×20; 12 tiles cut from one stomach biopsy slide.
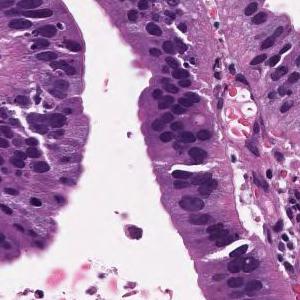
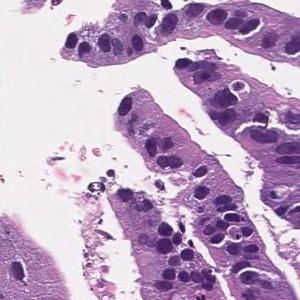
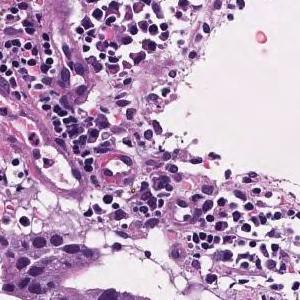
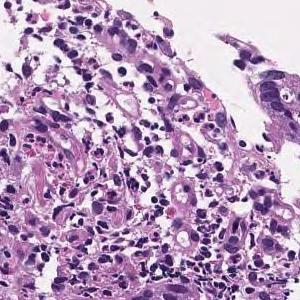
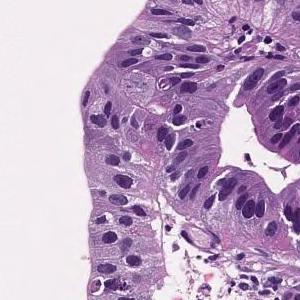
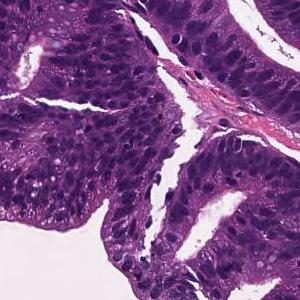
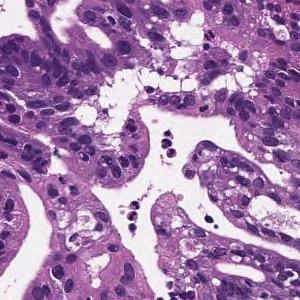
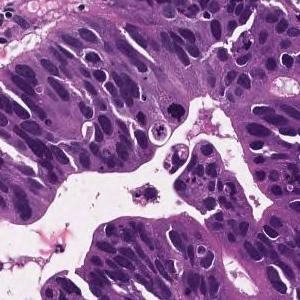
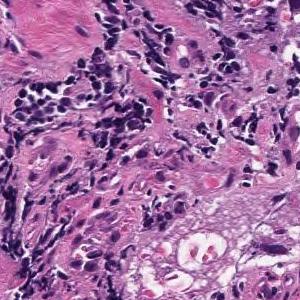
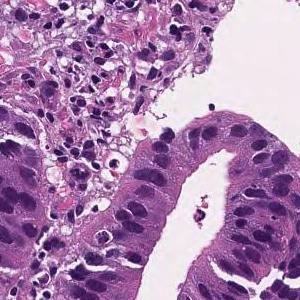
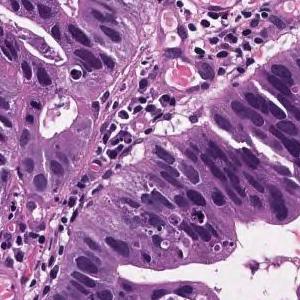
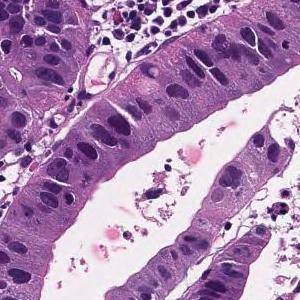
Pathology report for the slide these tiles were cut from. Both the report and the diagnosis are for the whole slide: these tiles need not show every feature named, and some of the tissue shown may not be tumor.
Tumor cells are large, highly columnar, large club-shaped nuclei, and are associated with chromatin aggregation. Papillary adenocarcinoma.
